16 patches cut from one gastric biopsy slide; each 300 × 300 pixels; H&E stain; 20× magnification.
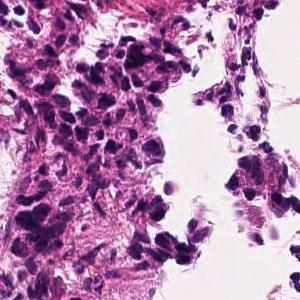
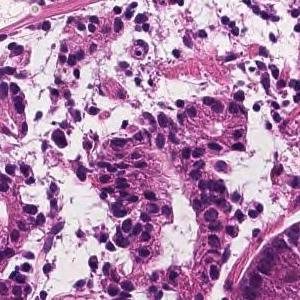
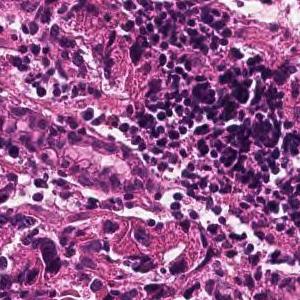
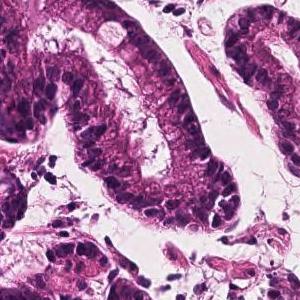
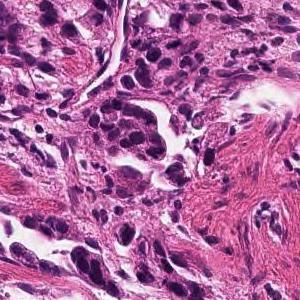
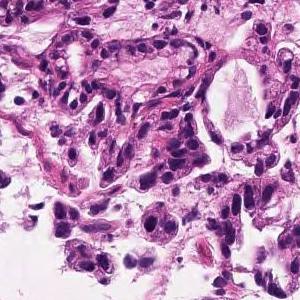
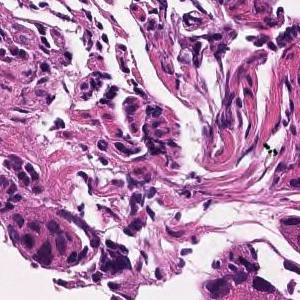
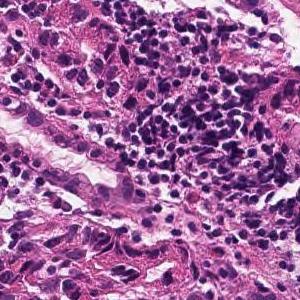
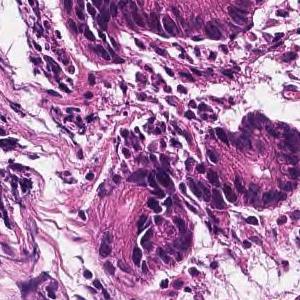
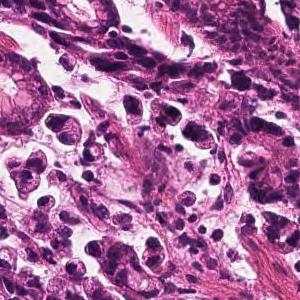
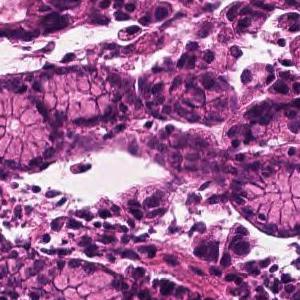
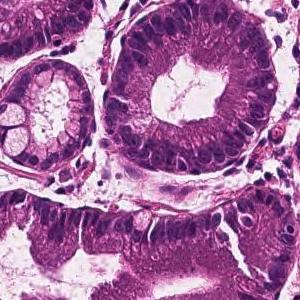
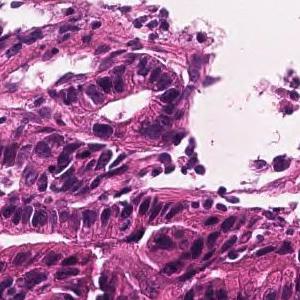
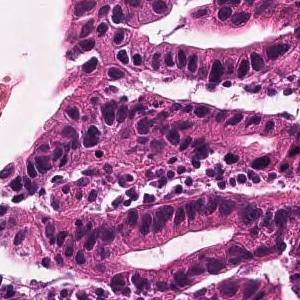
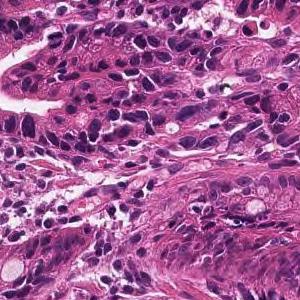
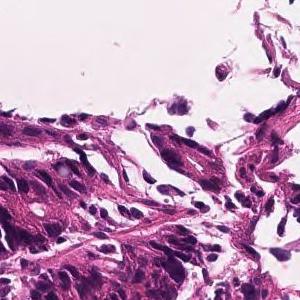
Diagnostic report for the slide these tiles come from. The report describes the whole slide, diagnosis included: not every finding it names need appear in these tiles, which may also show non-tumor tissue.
In the superficial epithelium, tumor tissue that invades by forming medium-sized to small, irregular ducts is observed. moderately differentiated tubular adenocarcinoma.
